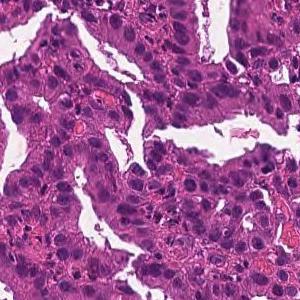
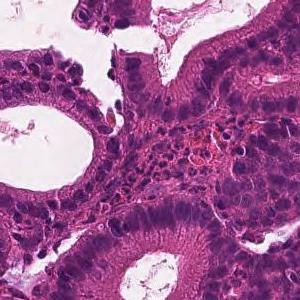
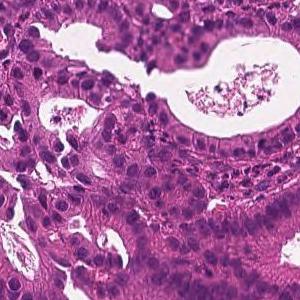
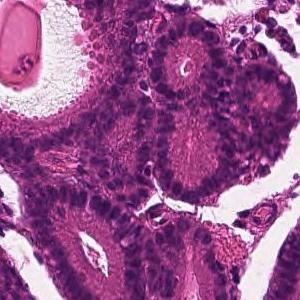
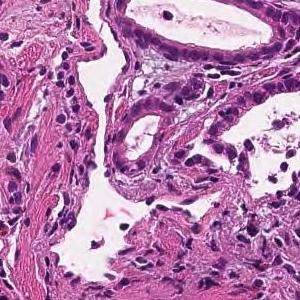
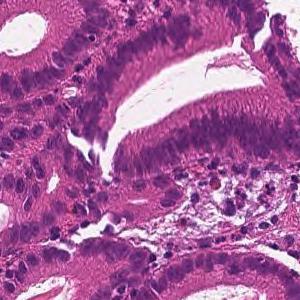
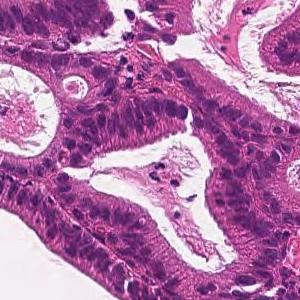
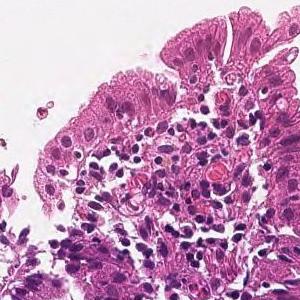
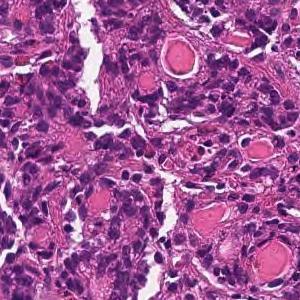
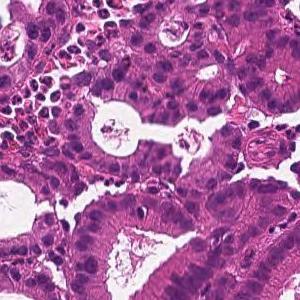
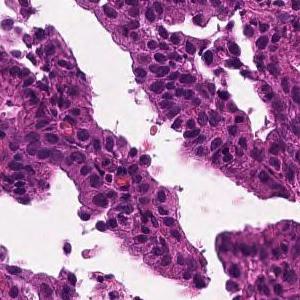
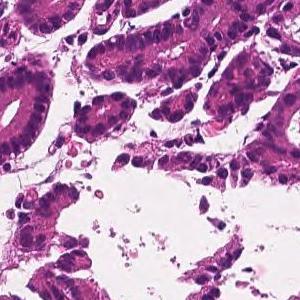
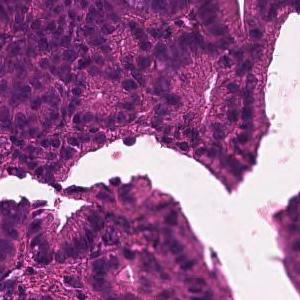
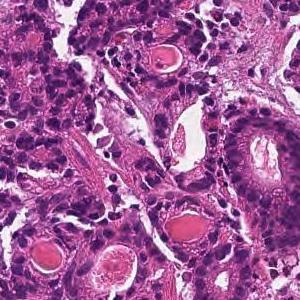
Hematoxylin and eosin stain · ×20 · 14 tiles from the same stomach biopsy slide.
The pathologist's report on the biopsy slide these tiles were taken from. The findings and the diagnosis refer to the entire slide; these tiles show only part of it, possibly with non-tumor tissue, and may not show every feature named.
From the superficial epithelium to the muscularis mucosae, tumor tissue consisting of medium-sized and irregular glandular ducts infiltrating is observed. Well differentiated tubular adenocarcinoma
